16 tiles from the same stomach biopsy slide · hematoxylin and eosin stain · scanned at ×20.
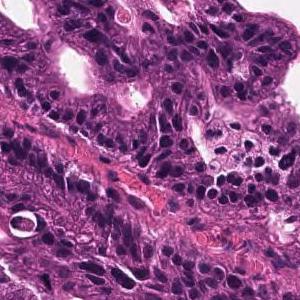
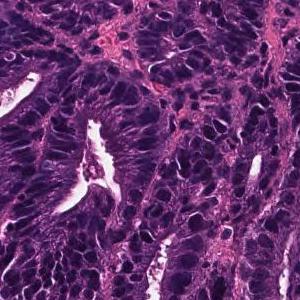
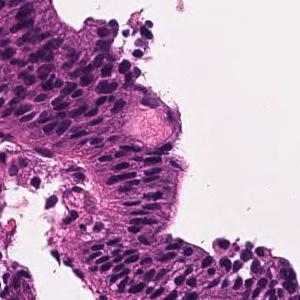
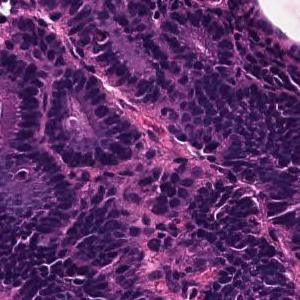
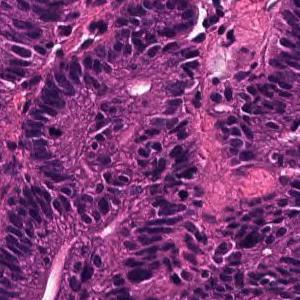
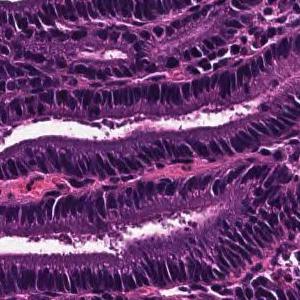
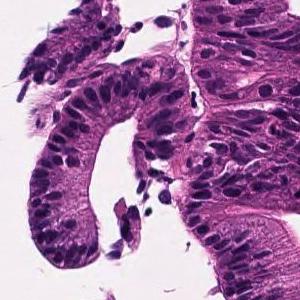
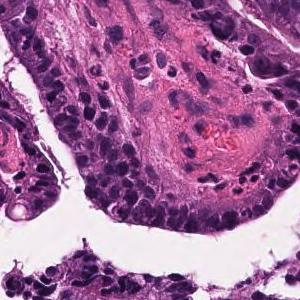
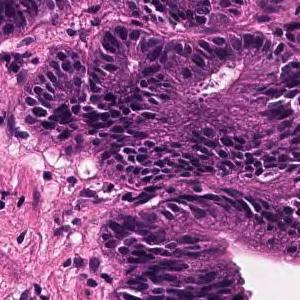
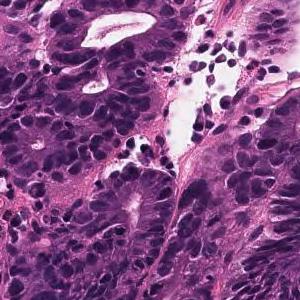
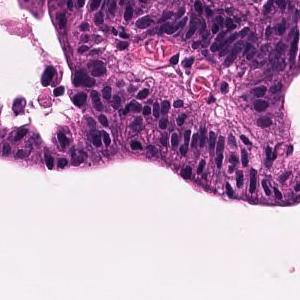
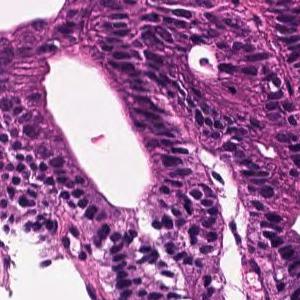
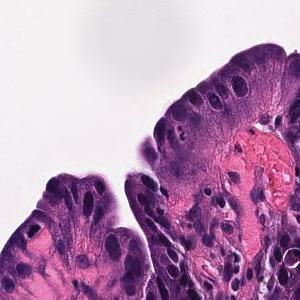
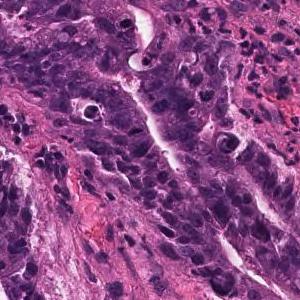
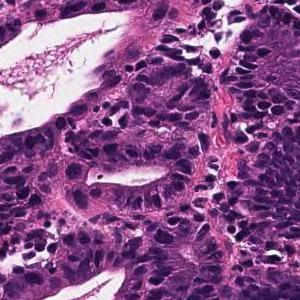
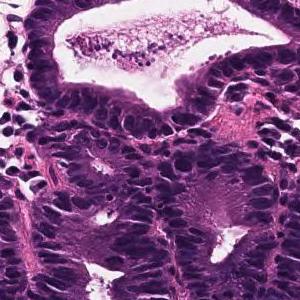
Pathology report for the biopsy slide these tiles were cut from. The findings and the diagnosis refer to the entire slide; these tiles show only part of it, possibly with non-tumor tissue, and may not show every feature named.
Tumor tissue that remains within the superficial epithelium and is infiltrated by large papillary or irregular ducts that fuse with each other is observed. Well differentiated tubular adenocarcinoma
